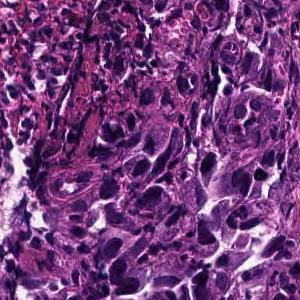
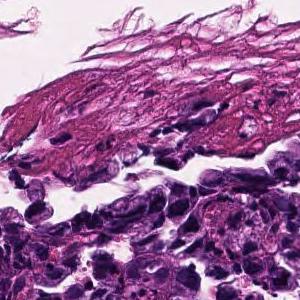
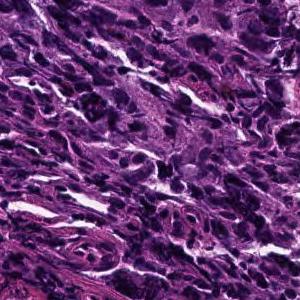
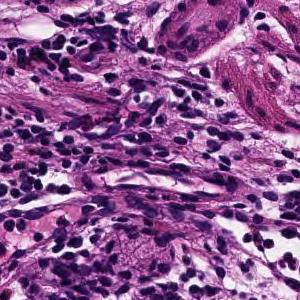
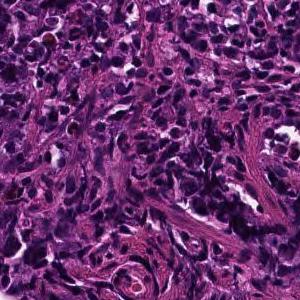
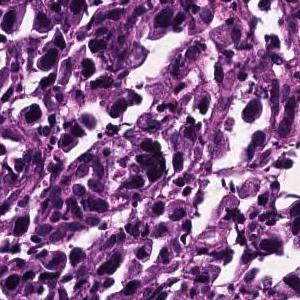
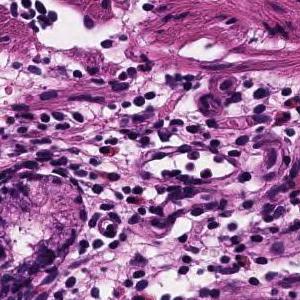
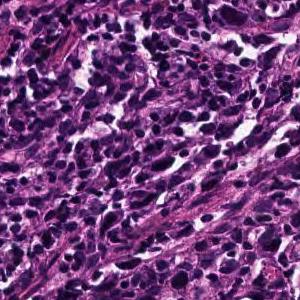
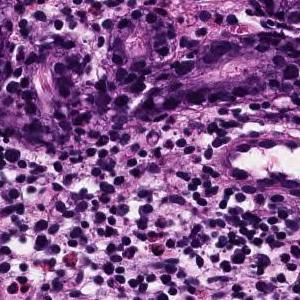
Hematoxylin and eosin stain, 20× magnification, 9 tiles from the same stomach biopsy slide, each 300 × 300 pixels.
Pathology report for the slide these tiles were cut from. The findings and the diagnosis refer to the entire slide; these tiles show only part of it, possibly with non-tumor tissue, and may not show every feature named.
The superficial epithelium shows a large sheet-like shape, and some tumor tissues infiltrate with a small cord-like structure. Poorly differentiated adenocarcinoma, solid type (poorly differentiated adenocarcinoma, solid type)
Histological subtype: Poorly differentiated adenocarcinoma, solid type, a category of the Japanese Classification of Gastric Carcinoma; in the WHO 2019 classification it is tubular adenocarcinoma, poorly differentiated.
